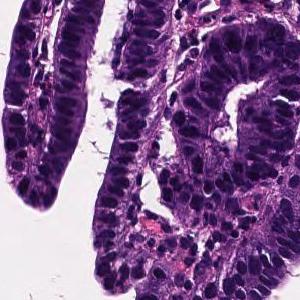
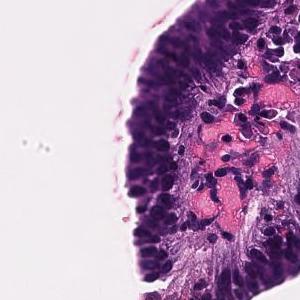
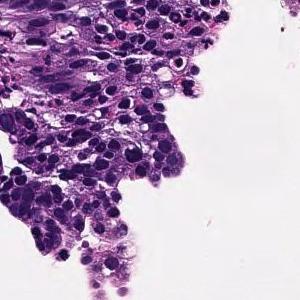
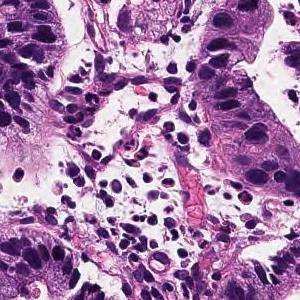
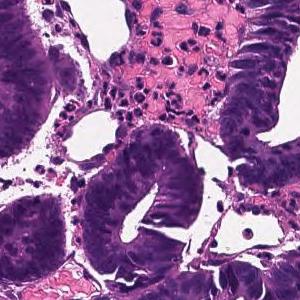
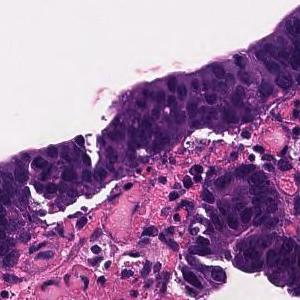
6 tiles cut from one stomach biopsy slide, 300×300 px each, H&E.
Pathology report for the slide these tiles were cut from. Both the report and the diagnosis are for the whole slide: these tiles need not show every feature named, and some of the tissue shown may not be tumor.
Tumor tissue consisting of large papillary structures is found in the superficial epithelium. Papillary adenocarcinoma.
